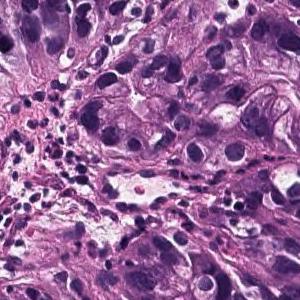
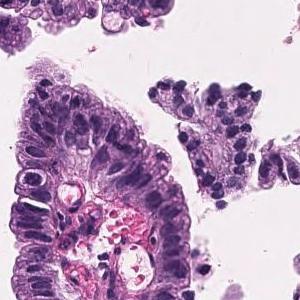
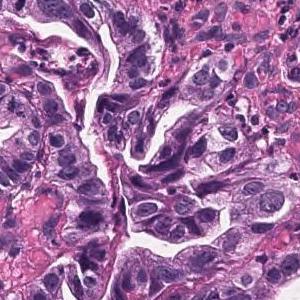
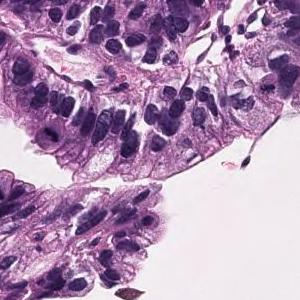
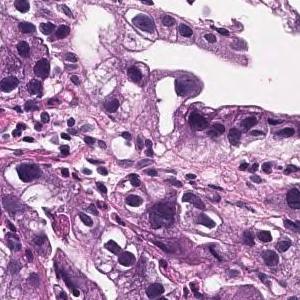
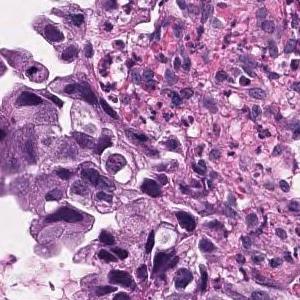
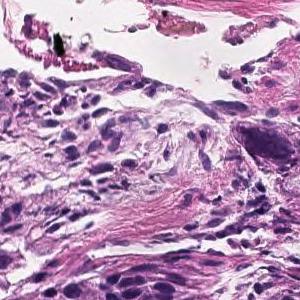
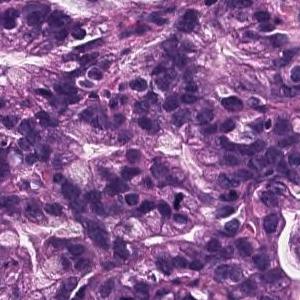
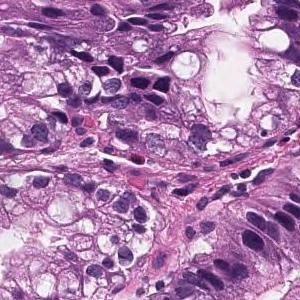
9 image tiles from a single gastric biopsy slide, 300×300 px each, H&E, 20× magnification.
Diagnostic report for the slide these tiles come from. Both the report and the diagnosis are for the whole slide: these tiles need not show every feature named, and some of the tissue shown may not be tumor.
Tumor cells are large, highly columnar, large club-shaped nuclei, and are associated with chromatin aggregation. Papillary adenocarcinoma.
